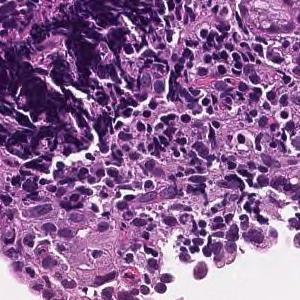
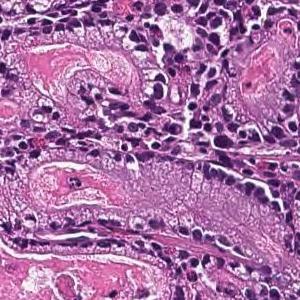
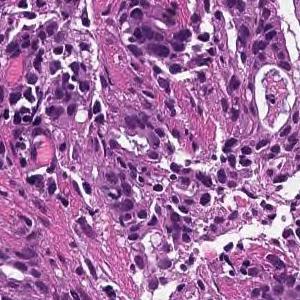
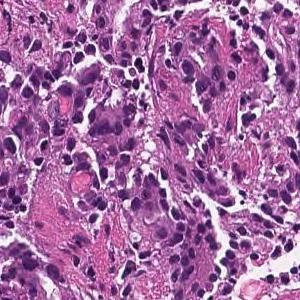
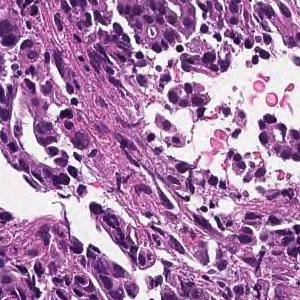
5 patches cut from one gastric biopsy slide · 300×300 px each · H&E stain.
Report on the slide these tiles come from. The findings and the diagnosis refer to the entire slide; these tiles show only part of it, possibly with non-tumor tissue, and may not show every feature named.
On the superficial epithelium, tumor tissue that infiltrates by forming medium-sized papillary or small irregular ducts is observed. Papillary adenocarcinoma
